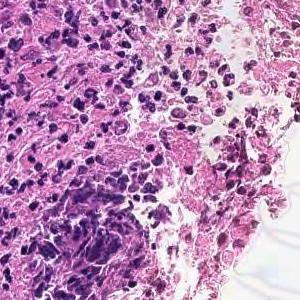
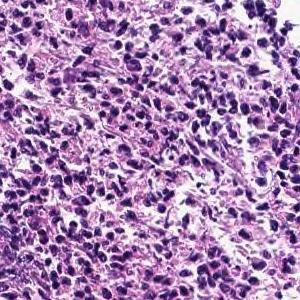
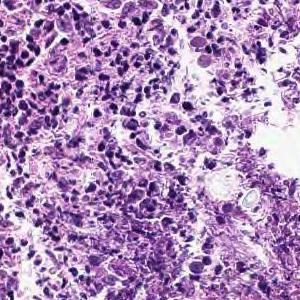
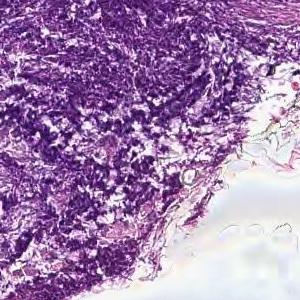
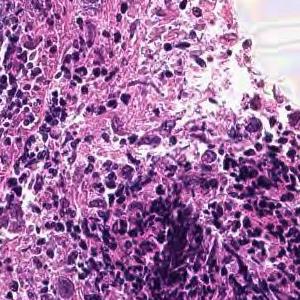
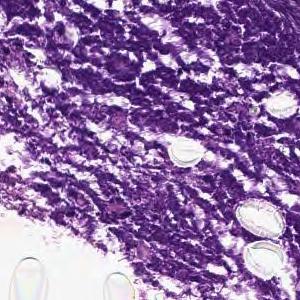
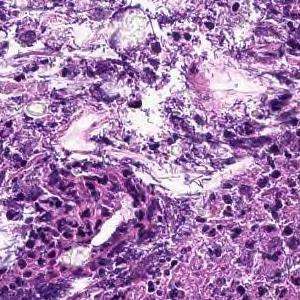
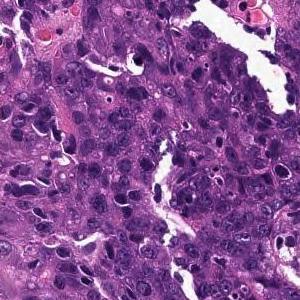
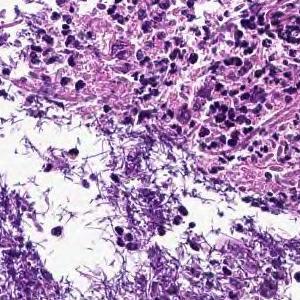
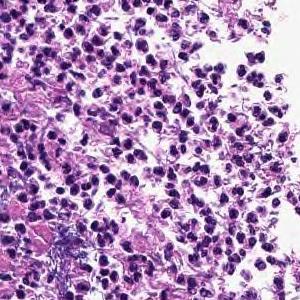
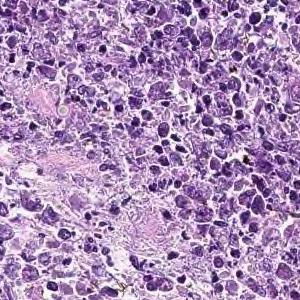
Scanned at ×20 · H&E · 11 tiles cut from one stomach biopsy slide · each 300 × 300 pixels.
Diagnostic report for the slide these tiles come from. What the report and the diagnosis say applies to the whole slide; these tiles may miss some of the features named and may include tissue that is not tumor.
Cancers with polygonal nuclei do not show glandular formation and are densely, in part, cord-like and proliferate. Poorly differentiated adenocarcinoma
Subtype: Poorly differentiated adenocarcinoma, non-solid type.
The non-solid type named here is a Japanese Classification of Gastric Carcinoma category.
